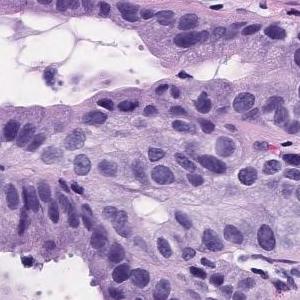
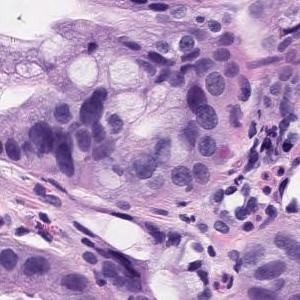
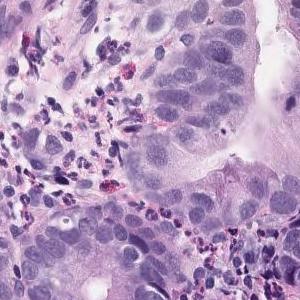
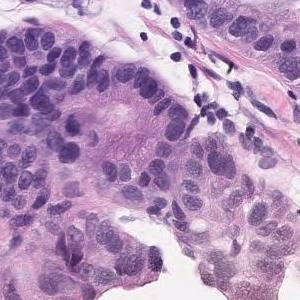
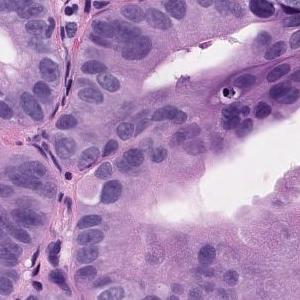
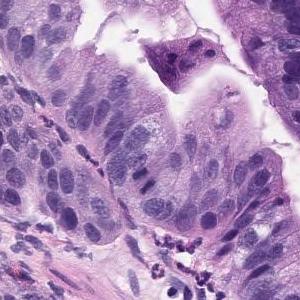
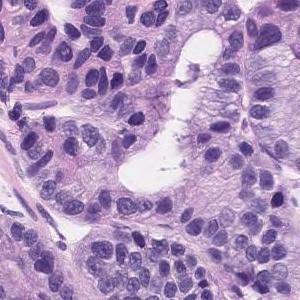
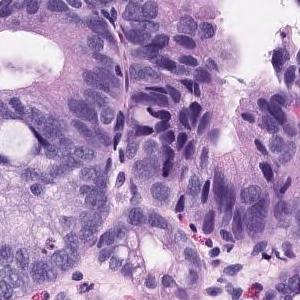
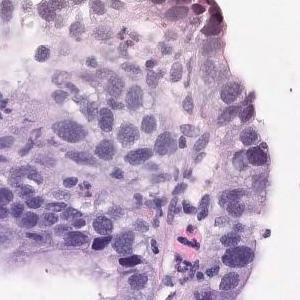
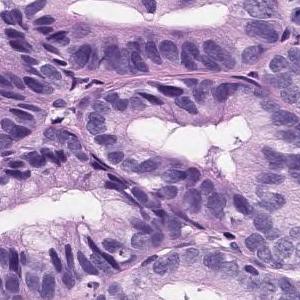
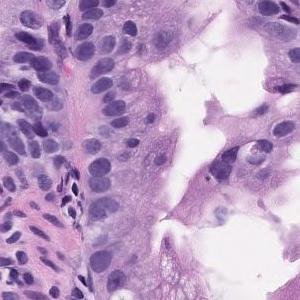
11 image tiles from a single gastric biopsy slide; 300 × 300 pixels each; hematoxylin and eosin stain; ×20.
The pathologist's report on the biopsy slide these tiles were taken from. The report and the diagnosis describe the slide as a whole, so these tiles may not show every feature named and may include non-tumor tissue.
Tumor tissue consisting of medium-sized and irregular ducts is observed infiltrating in the superficial epithelium. Tumor cells are highly columnar, with nuclei aligned basolaterally and polarized. Well differentiated tubular adenocarcinoma.
